10 tiles cut from one stomach biopsy slide · 300×300 px each · ×20 · H&E.
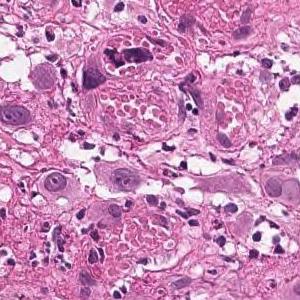
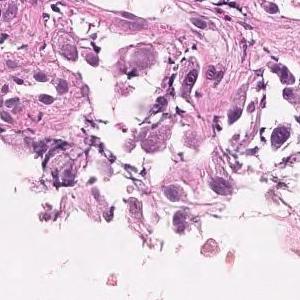
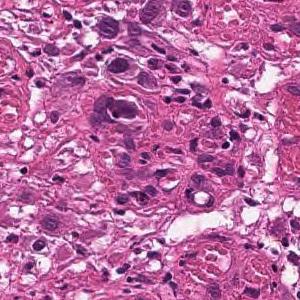
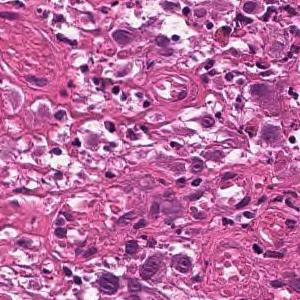
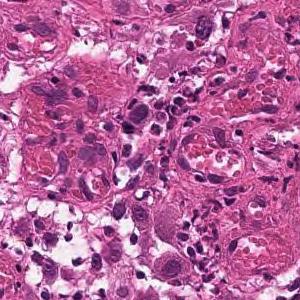
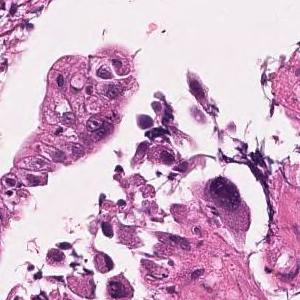
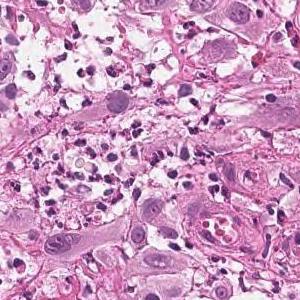
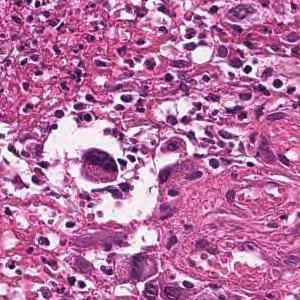
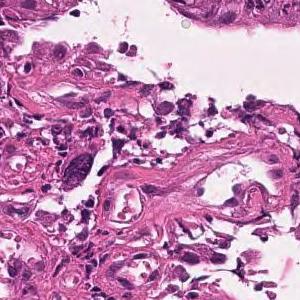
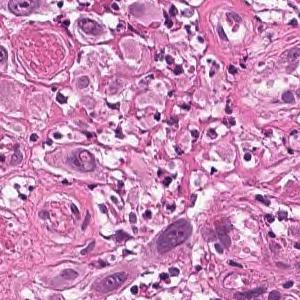
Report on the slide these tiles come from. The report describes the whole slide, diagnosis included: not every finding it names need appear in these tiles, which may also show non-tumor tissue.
Tumor tissue consisting of cord-like or small, irregular glandular ducts fused and infiltrated is observed in the superficial epithelium. Poorly differentiated adenocarcinoma, non-solid type
The term "non-solid type" comes from the Japanese Classification of Gastric Carcinoma.
